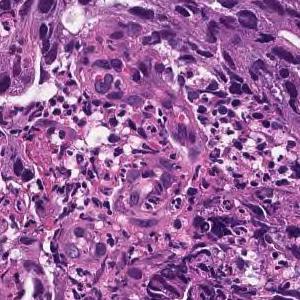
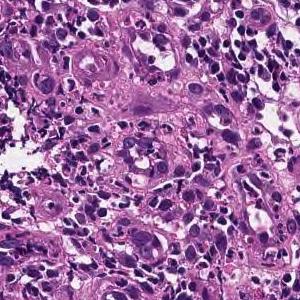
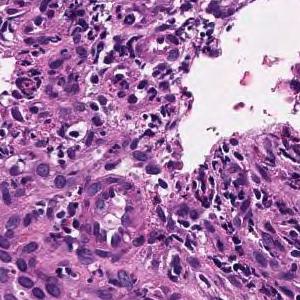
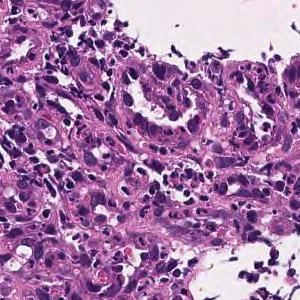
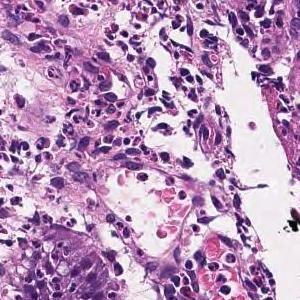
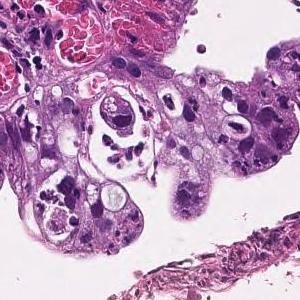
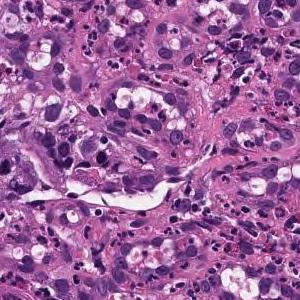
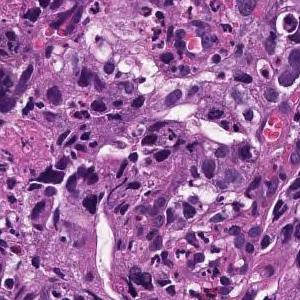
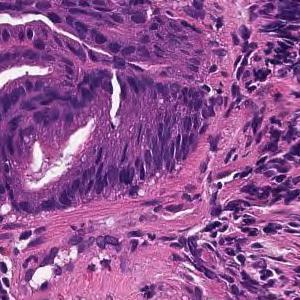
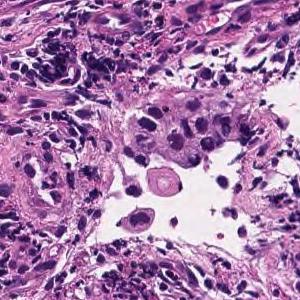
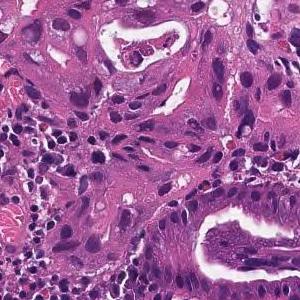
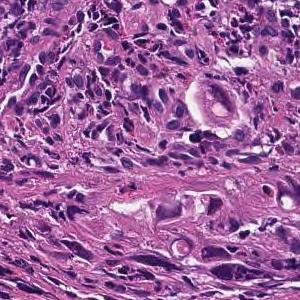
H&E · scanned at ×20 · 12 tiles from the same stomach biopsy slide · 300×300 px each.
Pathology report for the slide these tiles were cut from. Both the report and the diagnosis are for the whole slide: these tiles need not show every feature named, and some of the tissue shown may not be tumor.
In the superficial epithelium, tumor tissue that invades by forming medium-sized to small, irregular ducts is observed. moderately differentiated tubular adenocarcinoma.
